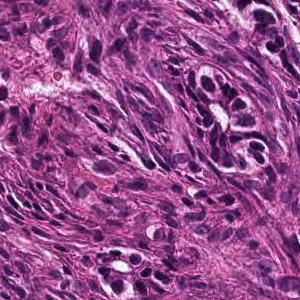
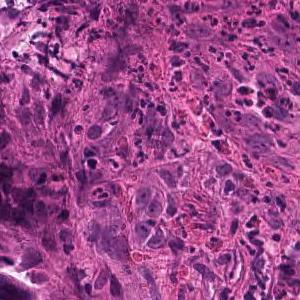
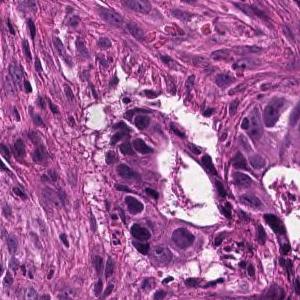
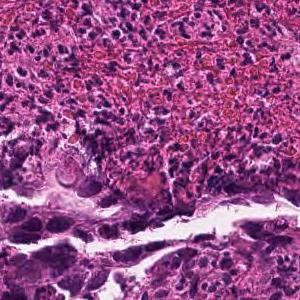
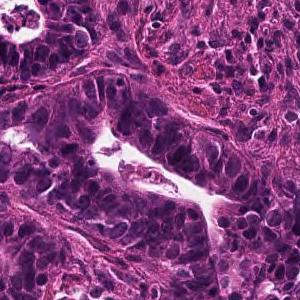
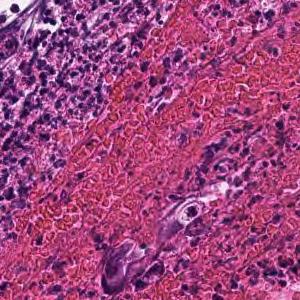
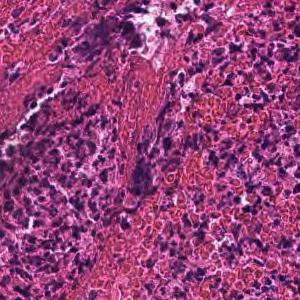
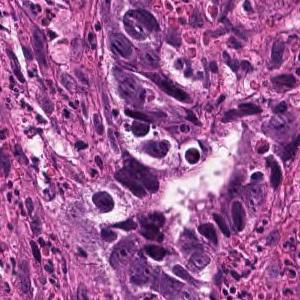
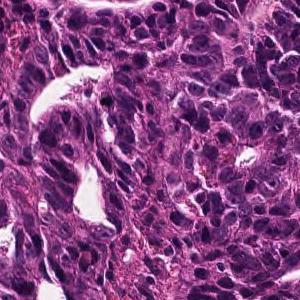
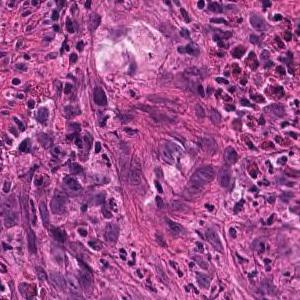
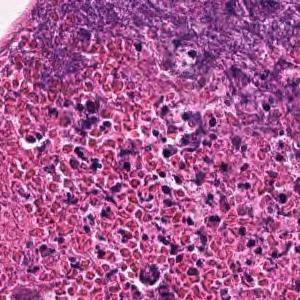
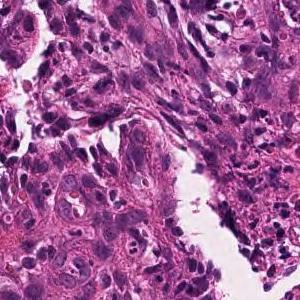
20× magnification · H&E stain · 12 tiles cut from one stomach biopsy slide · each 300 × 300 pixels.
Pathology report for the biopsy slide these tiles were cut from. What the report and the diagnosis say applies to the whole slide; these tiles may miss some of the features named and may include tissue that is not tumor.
In the superficial epithelium, tumor tissue that invades by forming medium-sized to small, irregular ducts is observed. moderately differentiated tubular adenocarcinoma.
